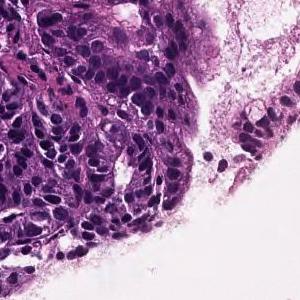
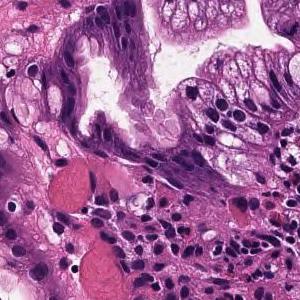
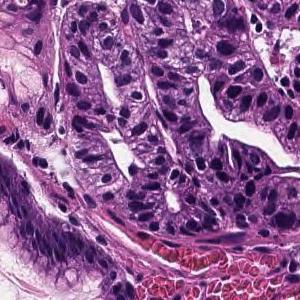
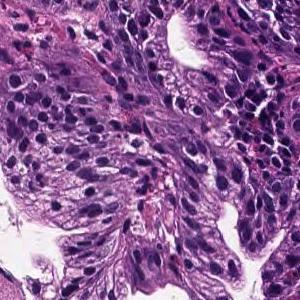
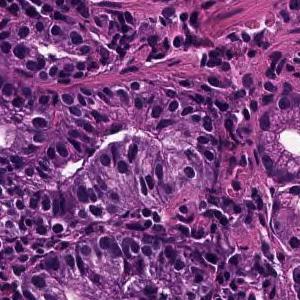
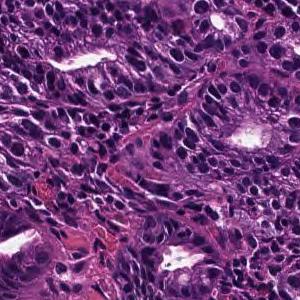
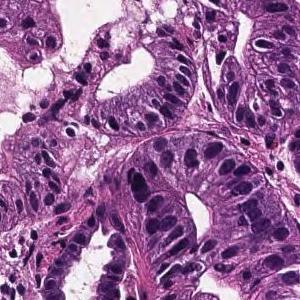
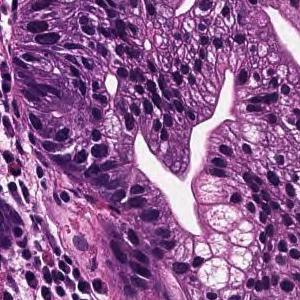
Hematoxylin and eosin stain, 8 tiles cut from one stomach biopsy slide.
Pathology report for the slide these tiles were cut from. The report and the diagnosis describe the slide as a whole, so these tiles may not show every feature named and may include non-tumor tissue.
On the superficial epithelium, tumor tissue that infiltrates by forming medium-sized papillary or small irregular ducts is observed. Papillary adenocarcinoma
